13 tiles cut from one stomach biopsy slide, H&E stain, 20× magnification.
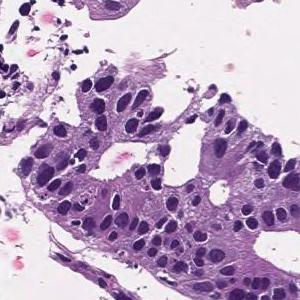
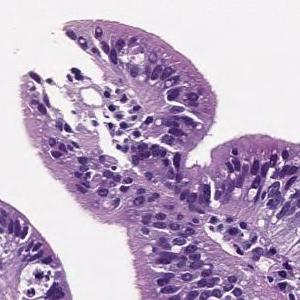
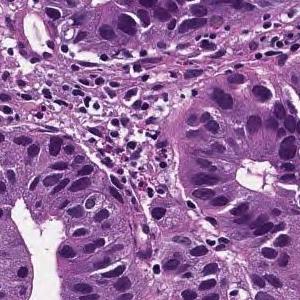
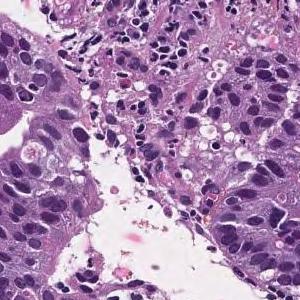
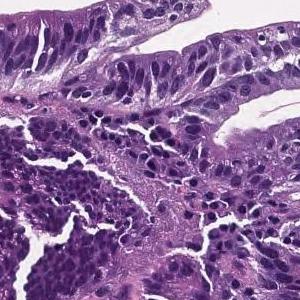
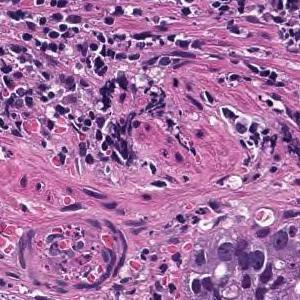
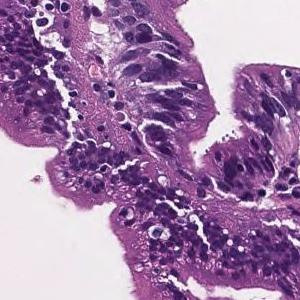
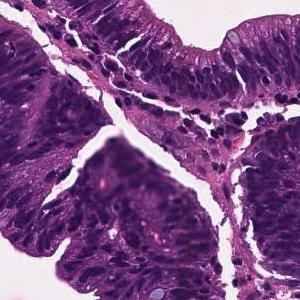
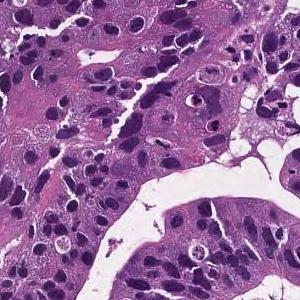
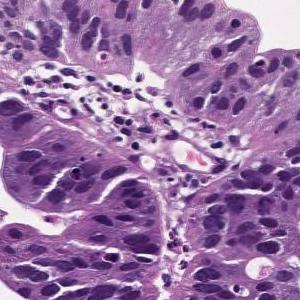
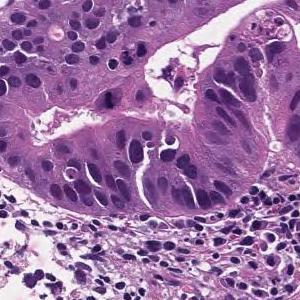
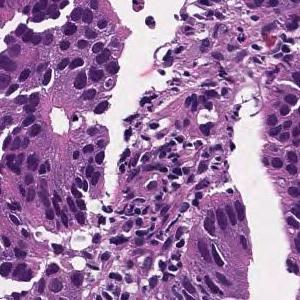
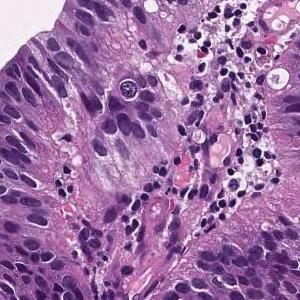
The pathologist's report on the biopsy slide these tiles were taken from. The findings and the diagnosis refer to the entire slide; these tiles show only part of it, possibly with non-tumor tissue, and may not show every feature named.
Tumor cells are large, highly columnar, large club-shaped nuclei, and are associated with chromatin aggregation. Papillary adenocarcinoma.
